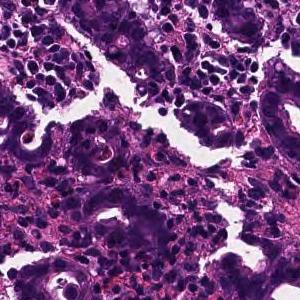
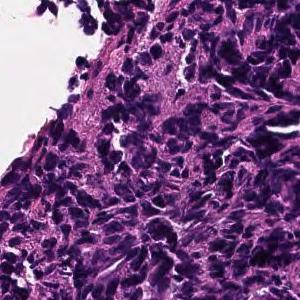
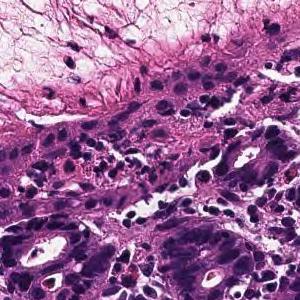
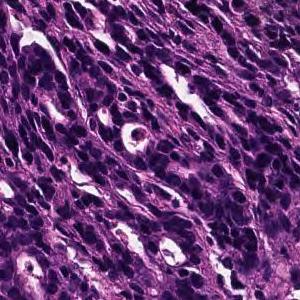
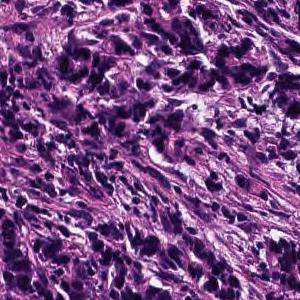
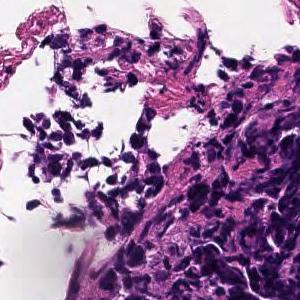
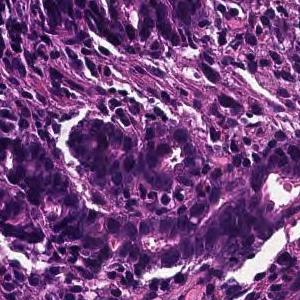
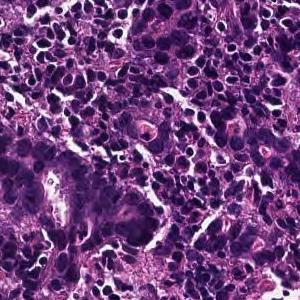
20× magnification; H&E; 8 tiles from the same stomach biopsy slide; each 300 × 300 pixels.
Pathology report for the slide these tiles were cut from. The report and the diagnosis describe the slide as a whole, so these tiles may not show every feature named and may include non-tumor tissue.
On the superficial epithelium, tumor tissue is found in which medium-sized irregular gland ducts fuse with each other and infiltrate. moderately differentiated tubular adenocarcinoma or Poorly differentiated adenocarcinoma, non-solid type
Tumor subtype: moderately to poorly differentiated adenocarcinoma.
The term "non-solid type" comes from the Japanese Classification of Gastric Carcinoma.
